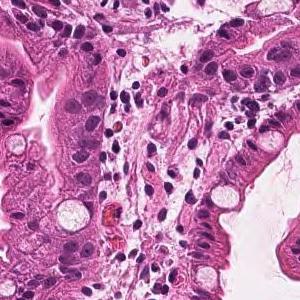
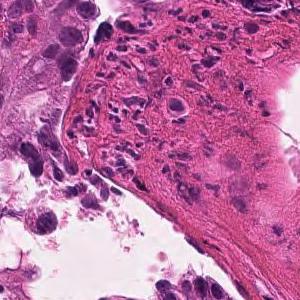
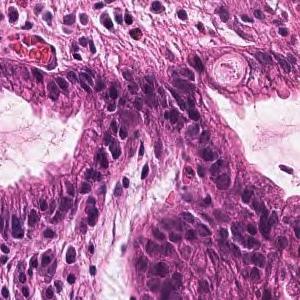
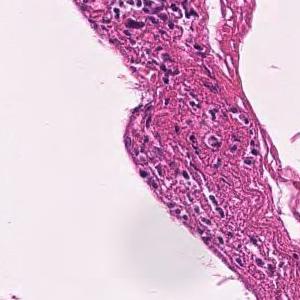
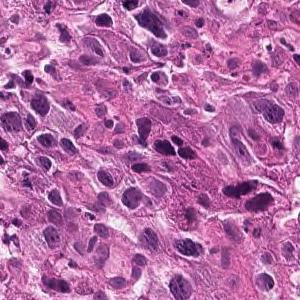
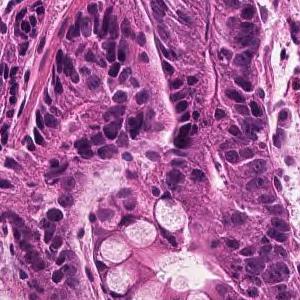
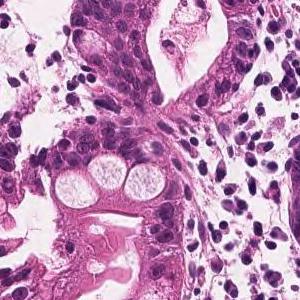
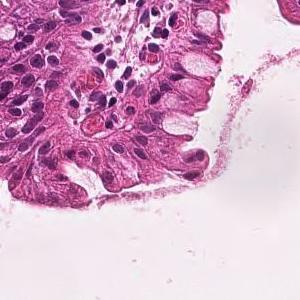
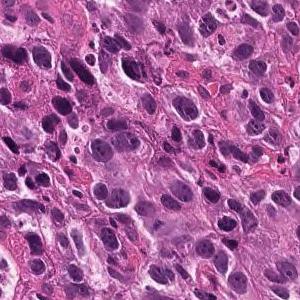
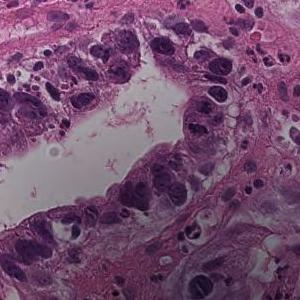
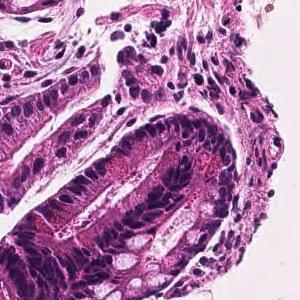
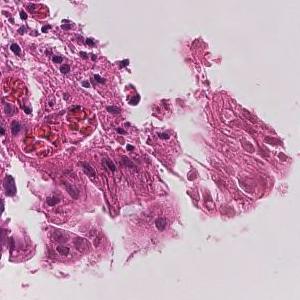
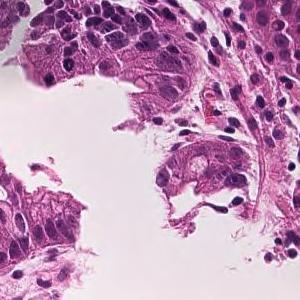
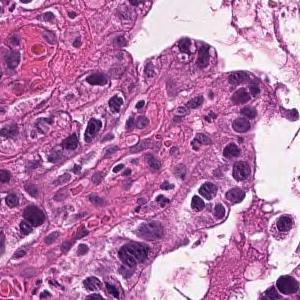
14 tiles from the same stomach biopsy slide; 300×300 px each; scanned at ×20; H&E stain.
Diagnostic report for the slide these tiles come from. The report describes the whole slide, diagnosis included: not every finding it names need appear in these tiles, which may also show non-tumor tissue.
Tumor tissue consisting of medium-sized, cord-like or irregular glandular infiltration is observed in the superficial epithelium. Poorly differentiated adenocarcinoma, non-solid type or moderately differentiated tubular adenocarcinoma
Tumor subtype: moderately to poorly differentiated adenocarcinoma.
"Non-solid type" is a category of the Japanese Classification of Gastric Carcinoma.
